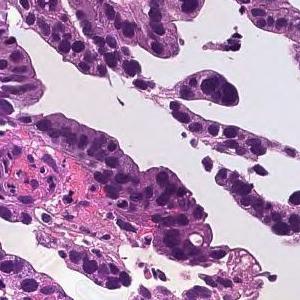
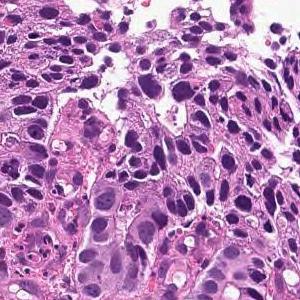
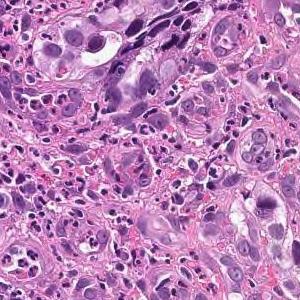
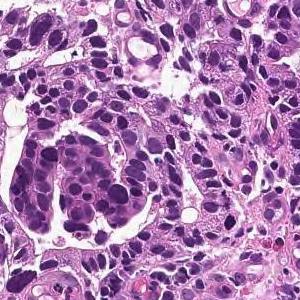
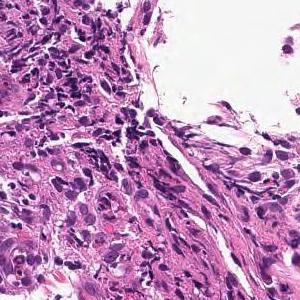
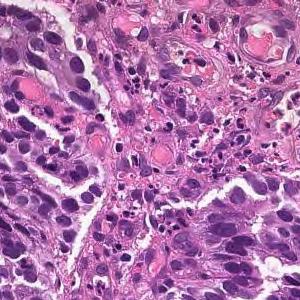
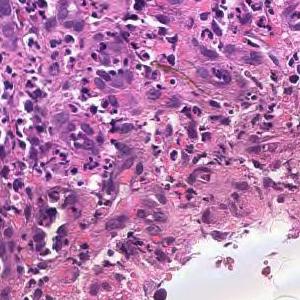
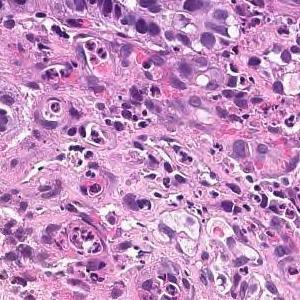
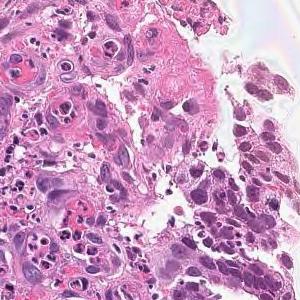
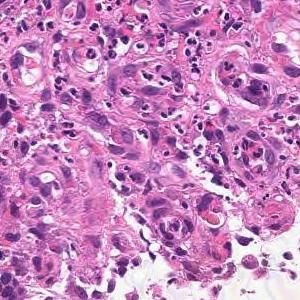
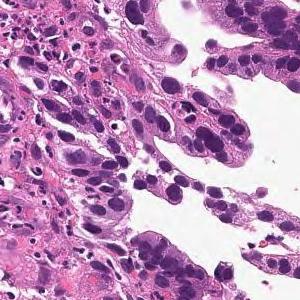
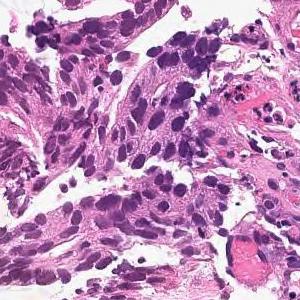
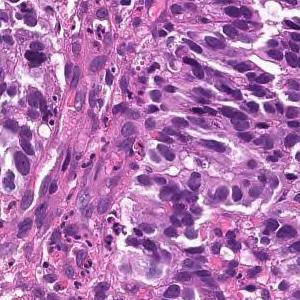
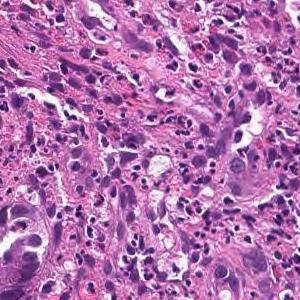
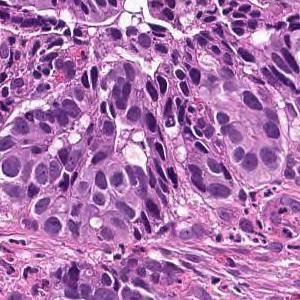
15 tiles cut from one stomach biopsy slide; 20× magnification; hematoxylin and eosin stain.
The pathologist's report on the biopsy slide these tiles were taken from. The report and the diagnosis describe the slide as a whole, so these tiles may not show every feature named and may include non-tumor tissue.
On the superficial epithelium, tumor tissue consisting of large irregular glandular ducts partially fused and infiltrated is observed. Well to moderately differentiated tubular adenocarcinoma (well differentiated tubular adenocarcinoma, moderately differentiated tubular adenocarcinoma)
Classified as well to moderately differentiated tubular adenocarcinoma.
